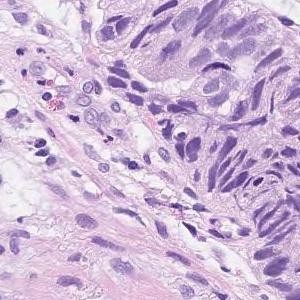
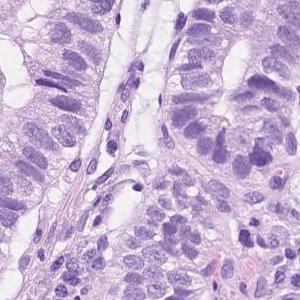
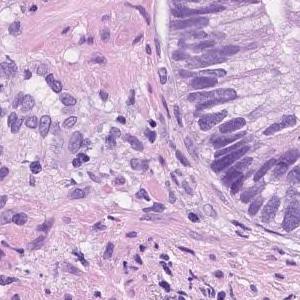
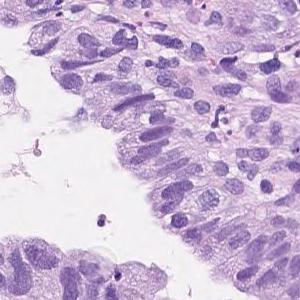
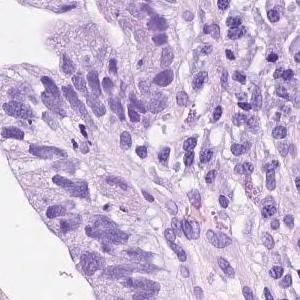
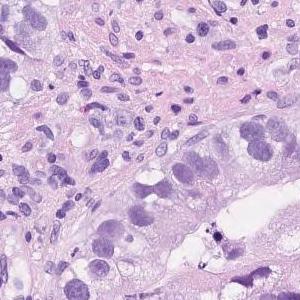
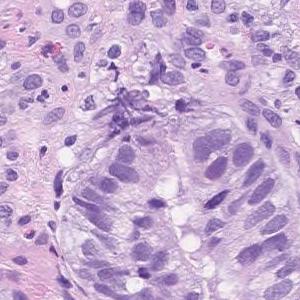
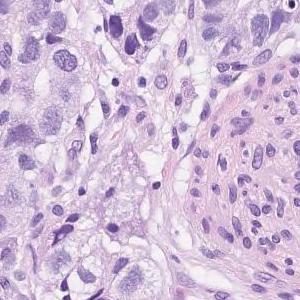
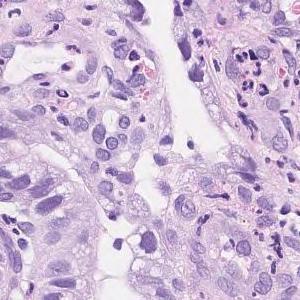
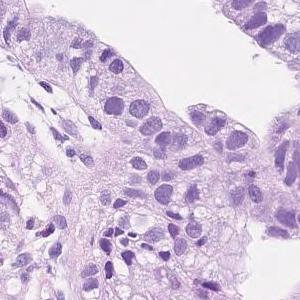
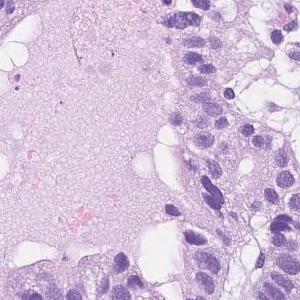
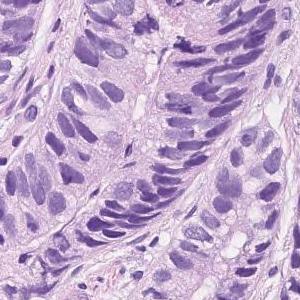
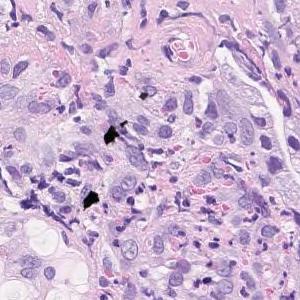
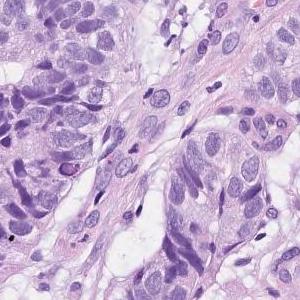
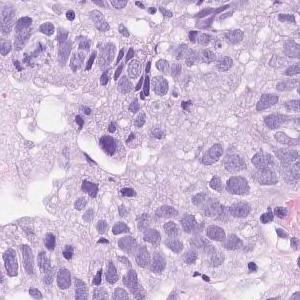
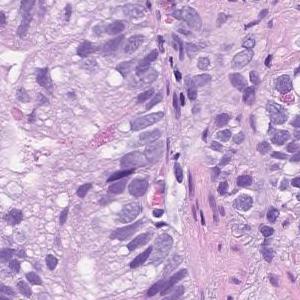
16 image tiles from a single gastric biopsy slide.
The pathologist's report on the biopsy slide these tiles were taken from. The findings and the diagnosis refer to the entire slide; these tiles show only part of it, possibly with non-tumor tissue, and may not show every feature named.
Atypical l cells with atypical nuclei forming solid or diffuse vesicles or small irregular atypical ducts and growing in a complex manner. moderately differentiated tubular adenocarcinoma
